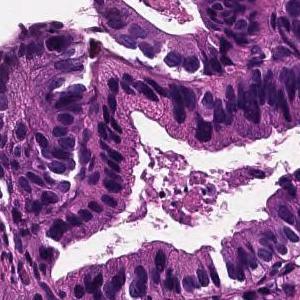
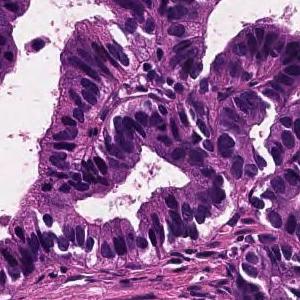
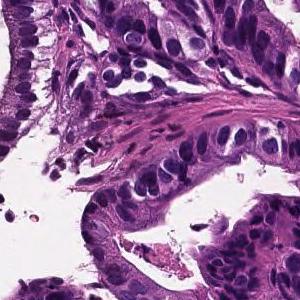
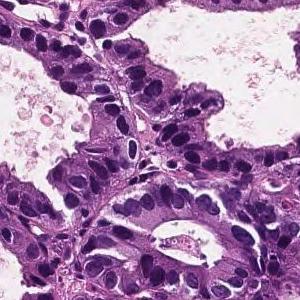
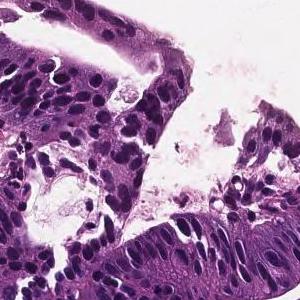
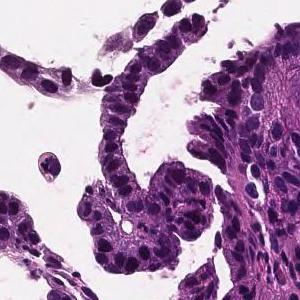
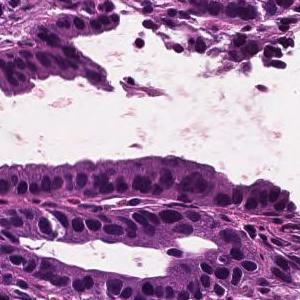
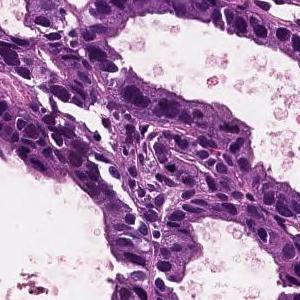
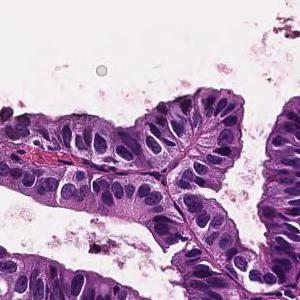
9 tiles from the same stomach biopsy slide; 300×300 px each; H&E.
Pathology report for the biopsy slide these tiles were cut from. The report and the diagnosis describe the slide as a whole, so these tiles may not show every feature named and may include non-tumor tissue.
From the superficial epithelium to the muscularis mucosae, tumor tissue consisting of medium-sized and irregular glandular ducts infiltrating is observed. Well differentiated tubular adenocarcinoma
